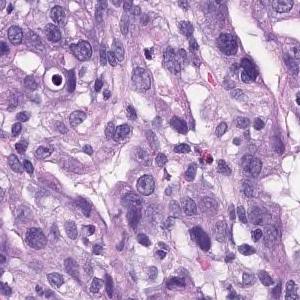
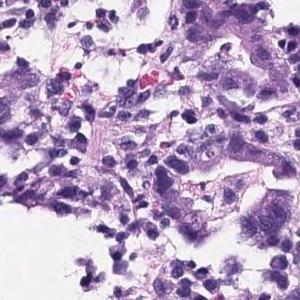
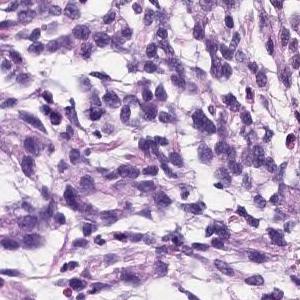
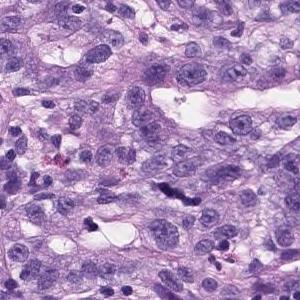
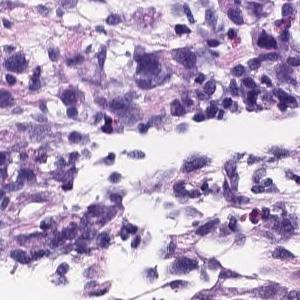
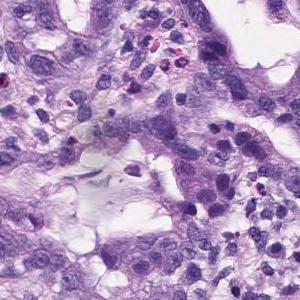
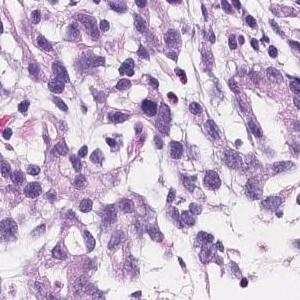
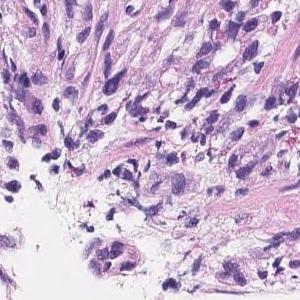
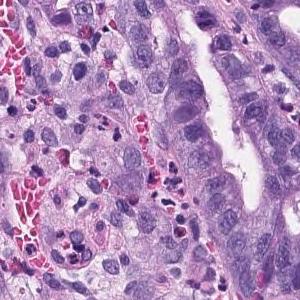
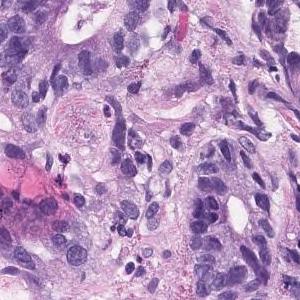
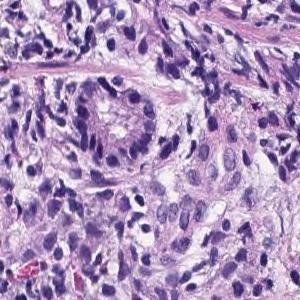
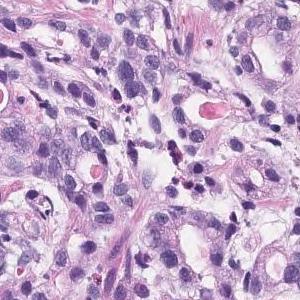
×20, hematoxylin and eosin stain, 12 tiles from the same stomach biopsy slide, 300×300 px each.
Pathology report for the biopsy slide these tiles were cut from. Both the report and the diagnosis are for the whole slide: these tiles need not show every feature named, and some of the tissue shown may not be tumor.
There are atypical l cells with atypical nuclei forming cord-like or irregular atypical ducts from solidity and proliferating in a comprehensive manner. Poorly differentiated adenocarcinoma, Moderately differentiated adenocarcinoma (poorly differentiated adenocarcinoma, solid type moderately differentiated tubular adenocarcinoma)
Subtype: Moderately to poorly differentiated adenocarcinoma.
"Solid type" is a category of the Japanese Classification of Gastric Carcinoma; in the WHO 2019 classification it is tubular adenocarcinoma, poorly differentiated.
